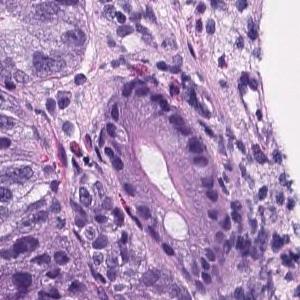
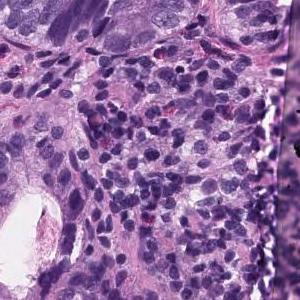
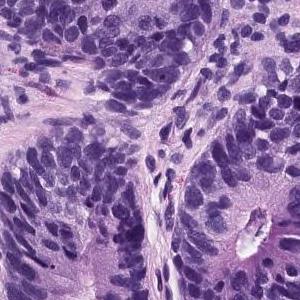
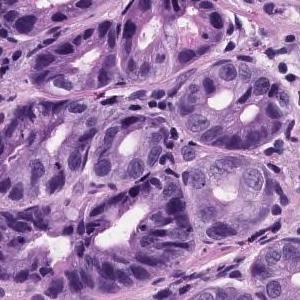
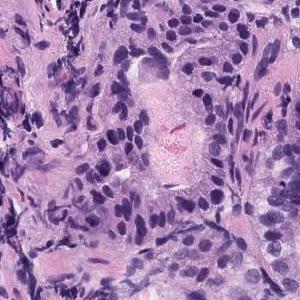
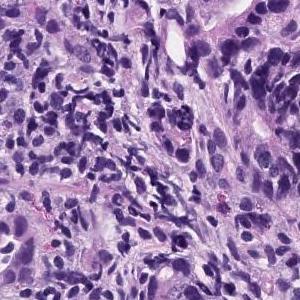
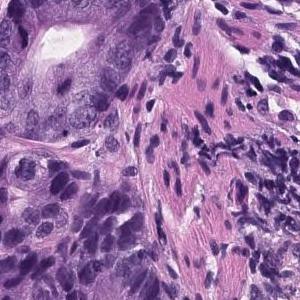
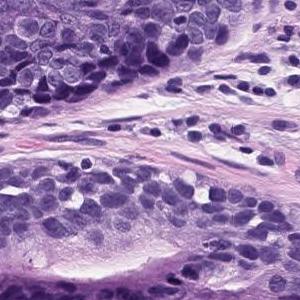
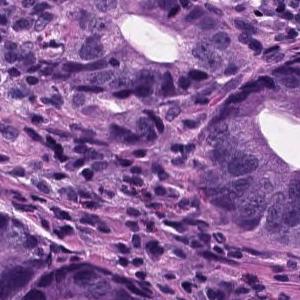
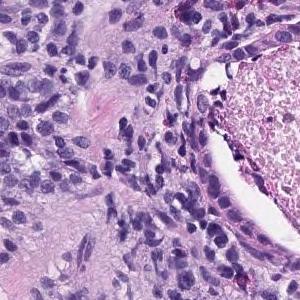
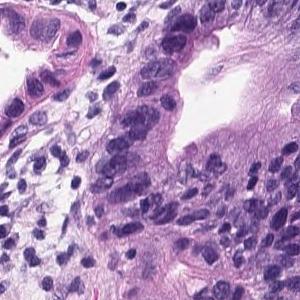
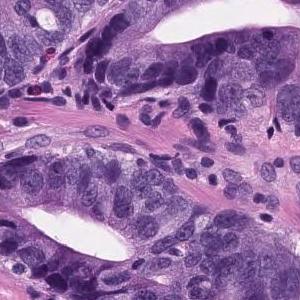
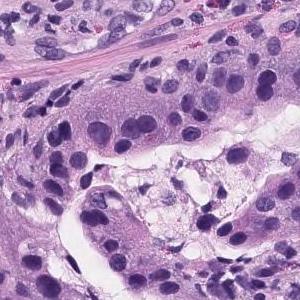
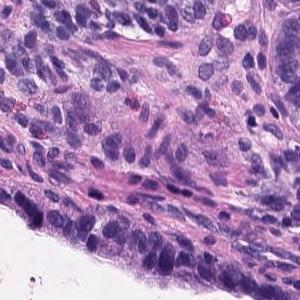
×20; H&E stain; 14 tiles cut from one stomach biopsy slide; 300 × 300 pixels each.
Pathology report for the biopsy slide these tiles were cut from. The report and the diagnosis cover the entire slide, so not every feature they name need be visible here, and some tissue shown may not be tumor.
Tumor tissue consisting of medium-sized and irregular ducts is observed infiltrating in the superficial epithelium. Tumor cells are highly columnar, with nuclei aligned basolaterally and polarized. Well differentiated tubular adenocarcinoma.
